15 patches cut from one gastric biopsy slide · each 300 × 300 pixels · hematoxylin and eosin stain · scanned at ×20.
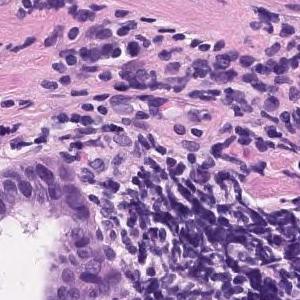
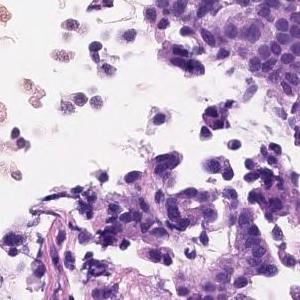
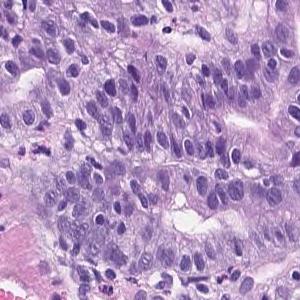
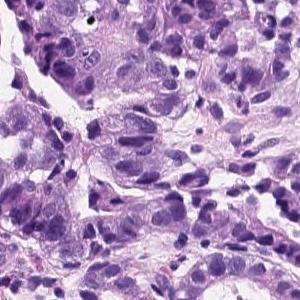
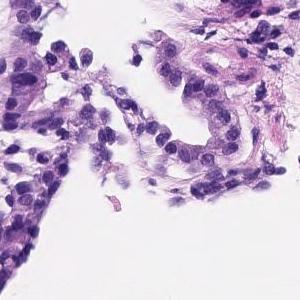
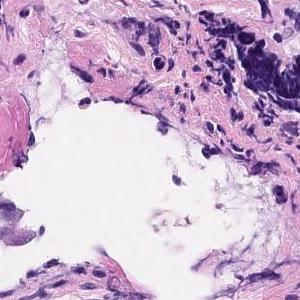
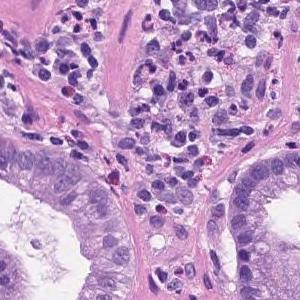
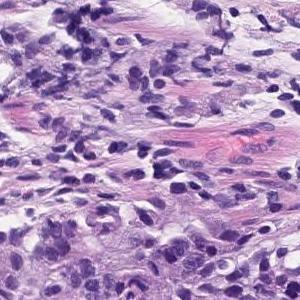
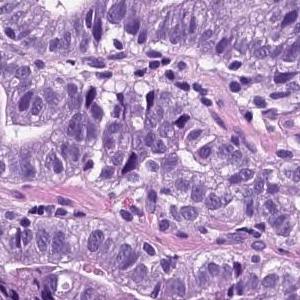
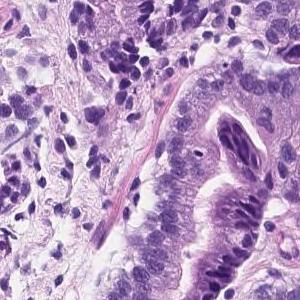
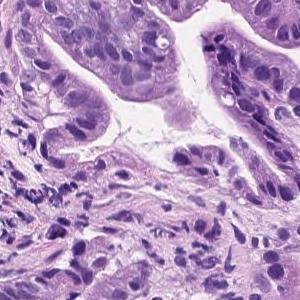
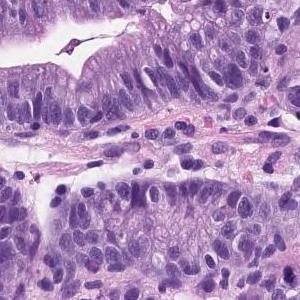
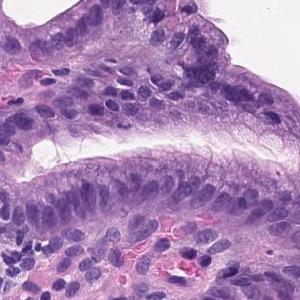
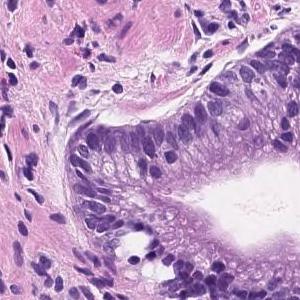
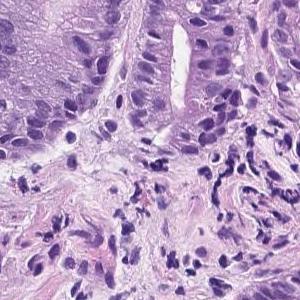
Pathology report for the biopsy slide these tiles were cut from. What the report and the diagnosis say applies to the whole slide; these tiles may miss some of the features named and may include tissue that is not tumor.
Tumor tissue consisting of medium-sized and irregular ducts is observed infiltrating in the superficial epithelium. Tumor cells are highly columnar, with nuclei aligned basolaterally and polarized. Well differentiated tubular adenocarcinoma.
